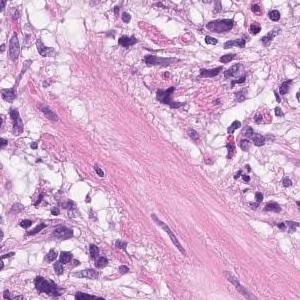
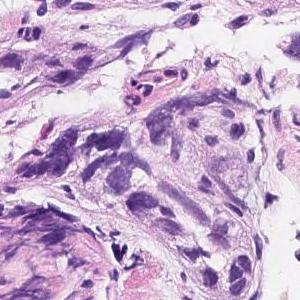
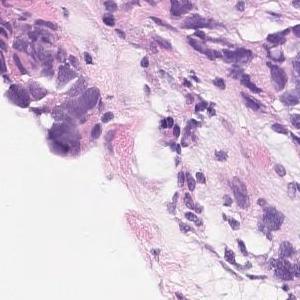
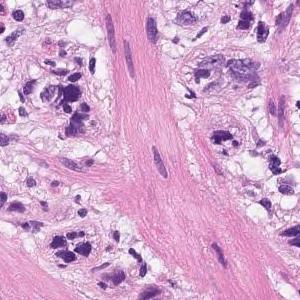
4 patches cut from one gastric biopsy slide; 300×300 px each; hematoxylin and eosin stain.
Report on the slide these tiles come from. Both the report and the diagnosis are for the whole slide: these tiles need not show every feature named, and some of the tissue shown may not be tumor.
In the superficial epithelium, tumor tissue that invades by forming medium-sized to small, irregular ducts is observed. Moderately differentiated adenocarcinoma.
Classified as moderately differentiated tubular adenocarcinoma.
